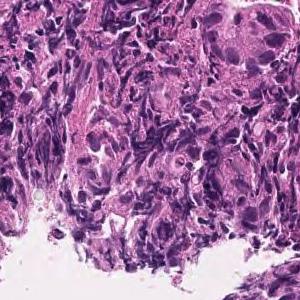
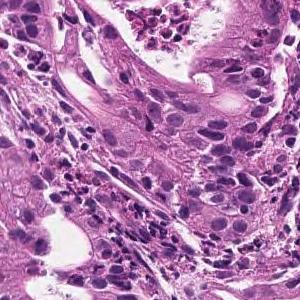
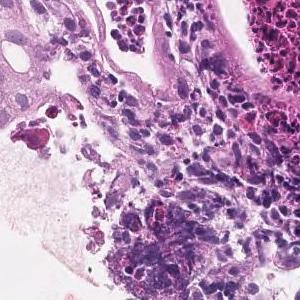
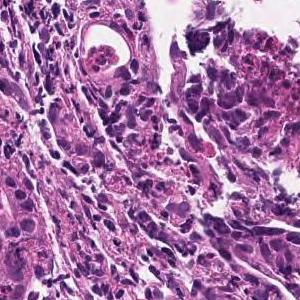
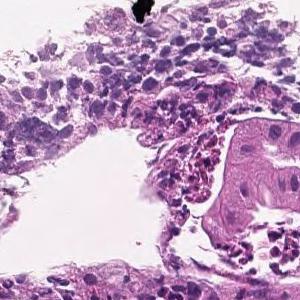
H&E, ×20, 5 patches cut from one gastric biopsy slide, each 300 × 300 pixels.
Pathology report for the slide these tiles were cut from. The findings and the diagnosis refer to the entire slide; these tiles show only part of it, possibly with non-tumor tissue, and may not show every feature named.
In the superficial epithelium, tumor tissue that invades by forming medium-sized to small, irregular ducts is observed. moderately differentiated tubular adenocarcinoma.
